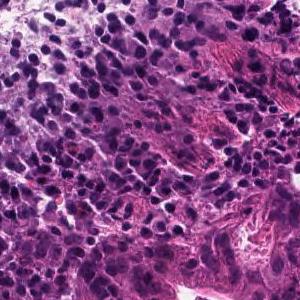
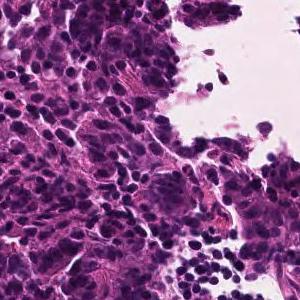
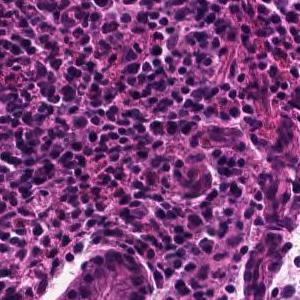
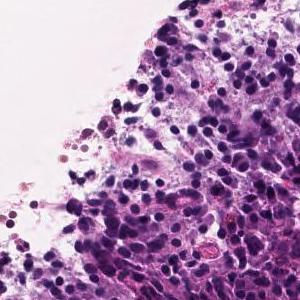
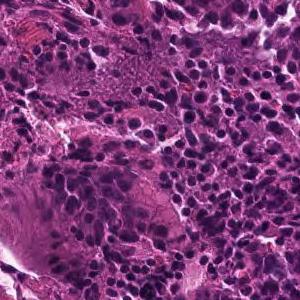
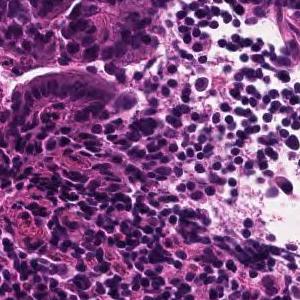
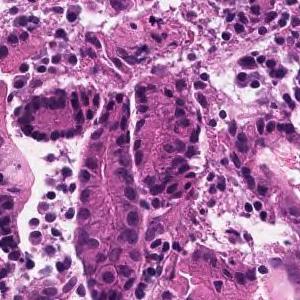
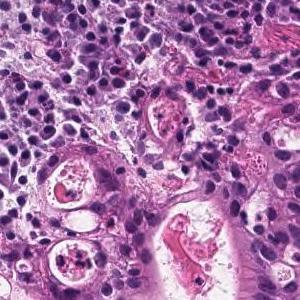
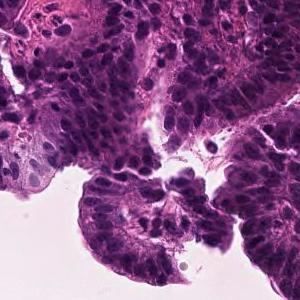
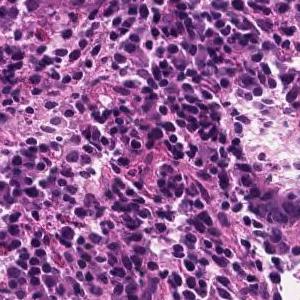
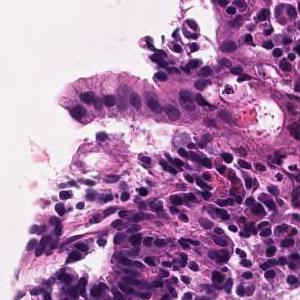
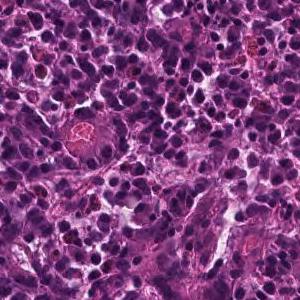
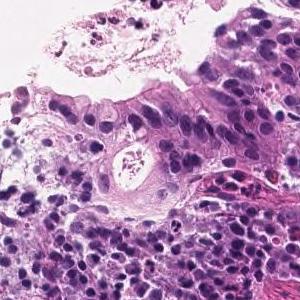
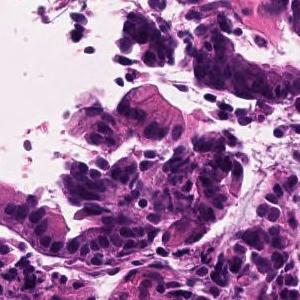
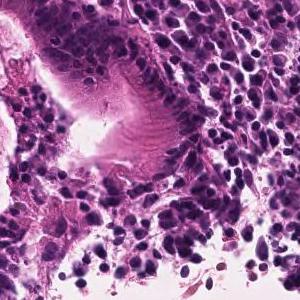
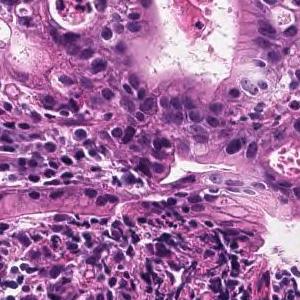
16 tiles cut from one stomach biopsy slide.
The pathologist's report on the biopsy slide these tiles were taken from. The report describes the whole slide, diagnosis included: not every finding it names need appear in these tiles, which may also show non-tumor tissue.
Tumor tissue consisting of medium-sized, cord-like or irregular glandular infiltration is observed in the superficial epithelium. Poorly differentiated adenocarcinoma, non-solid type or moderately differentiated tubular adenocarcinoma
Labeled in the dataset as poorly differentiated adenocarcinoma, non-solid type.
The non-solid type named here is a Japanese Classification of Gastric Carcinoma category.
